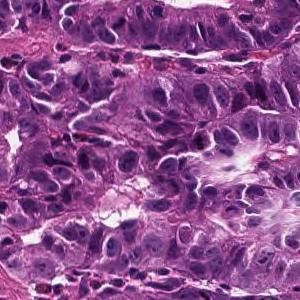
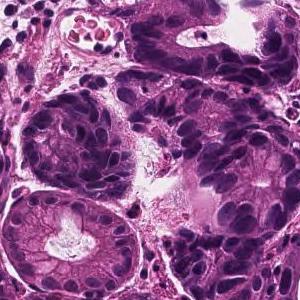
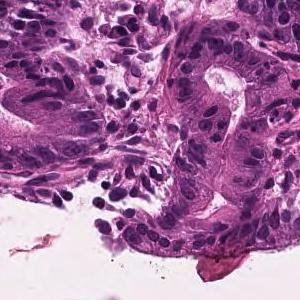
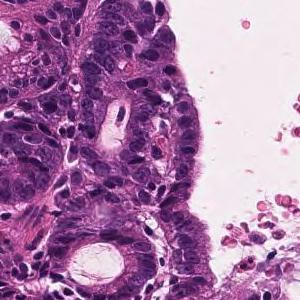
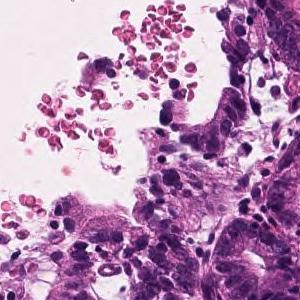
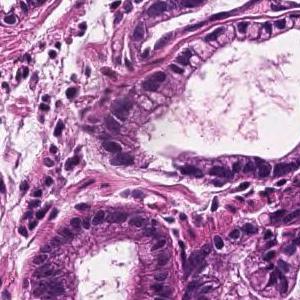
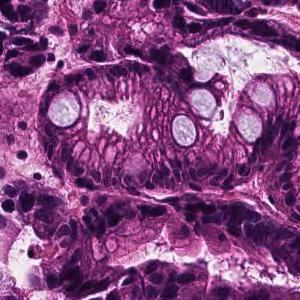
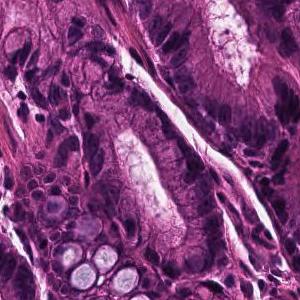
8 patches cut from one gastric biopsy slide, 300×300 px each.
Report on the slide these tiles come from. The report and the diagnosis describe the slide as a whole, so these tiles may not show every feature named and may include non-tumor tissue.
In the superficial epithelium, tumor tissue that invades by forming medium-sized to small, irregular ducts is observed. Well differentiated tubular adenocarcinoma.
